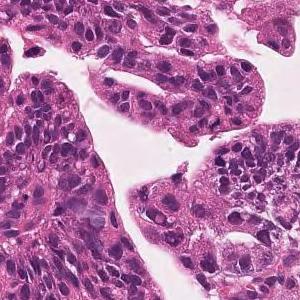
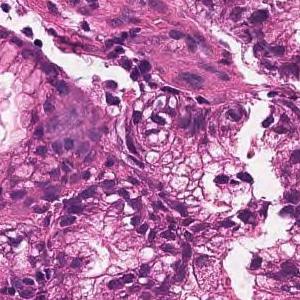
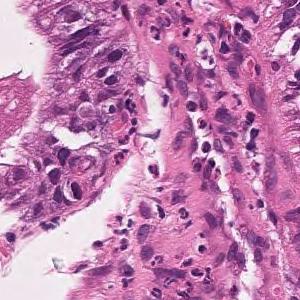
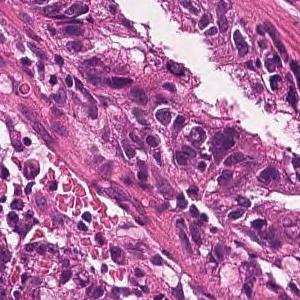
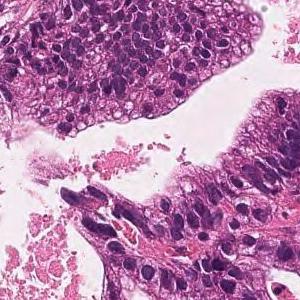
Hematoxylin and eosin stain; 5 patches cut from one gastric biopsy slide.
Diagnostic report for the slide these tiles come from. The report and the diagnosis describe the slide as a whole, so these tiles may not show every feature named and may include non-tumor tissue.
On the superficial epithelium, tumor tissue consisting of large, irregular glandular ducts partially fused and infiltrated is observed. Well to moderately differentiated tubular adenocarcinoma (well differentiated tubular adenocarcinoma, moderately differentiated tubular adenocarcinoma)
Histologic type: Well to moderately differentiated tubular adenocarcinoma.
